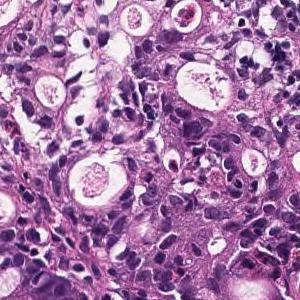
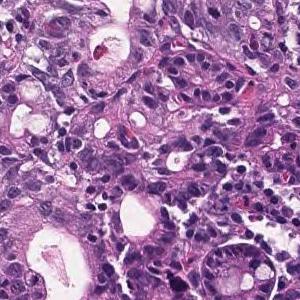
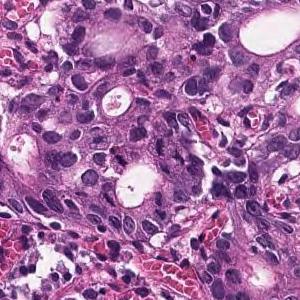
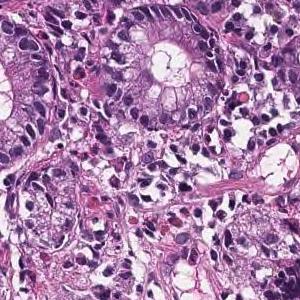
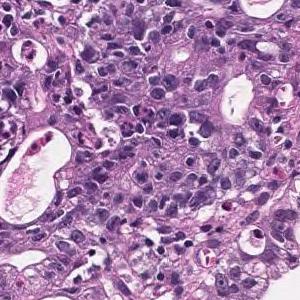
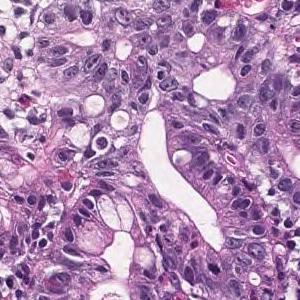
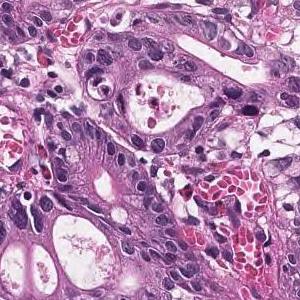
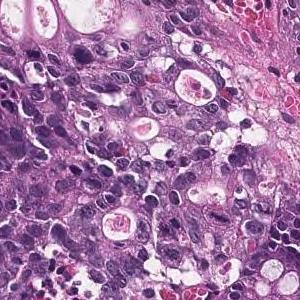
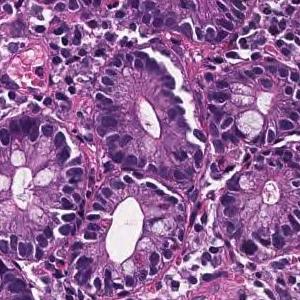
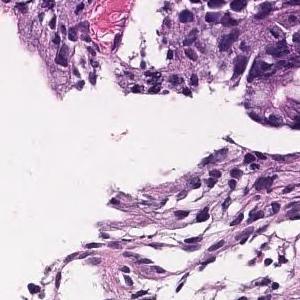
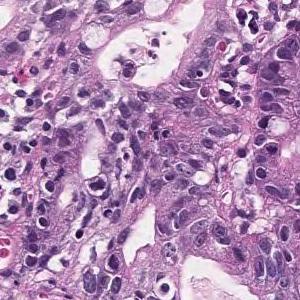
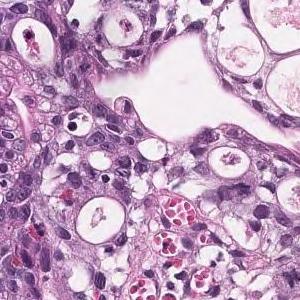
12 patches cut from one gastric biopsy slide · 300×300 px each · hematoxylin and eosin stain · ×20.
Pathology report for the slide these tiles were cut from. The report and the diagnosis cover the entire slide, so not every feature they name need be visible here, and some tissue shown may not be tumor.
In the superficial epithelium, tumor tissue that invades by forming medium-sized to small, irregular ducts is observed. Moderately differentiated adenocarcinoma.
Subtype: Moderately differentiated tubular adenocarcinoma.
